13 tiles from the same stomach biopsy slide; 300 × 300 pixels each; scanned at ×20; hematoxylin and eosin stain.
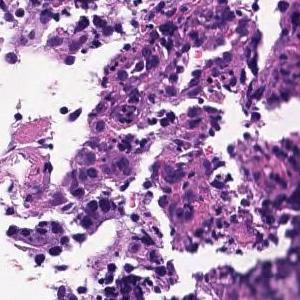
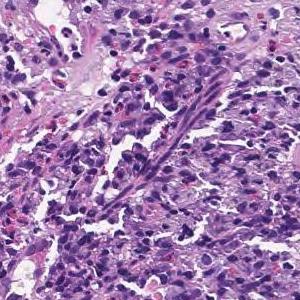
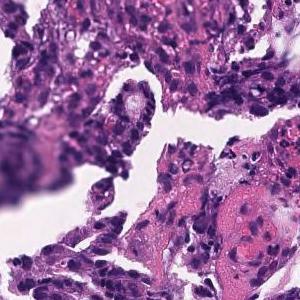
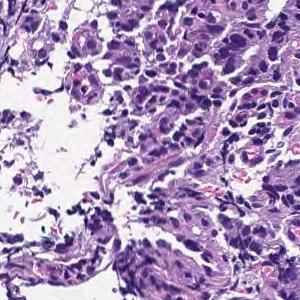
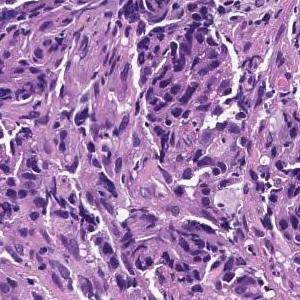
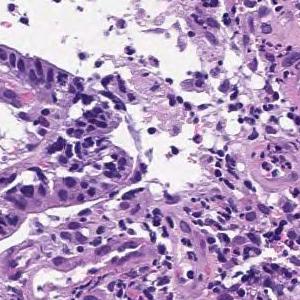
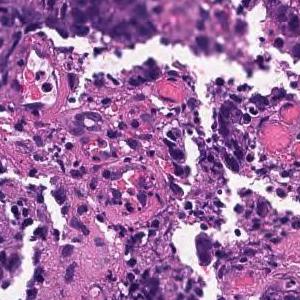
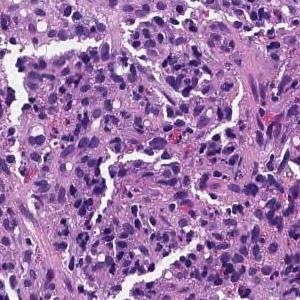
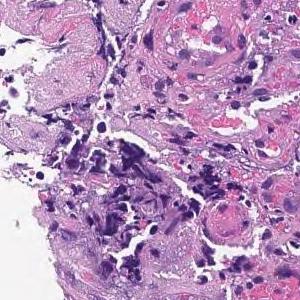
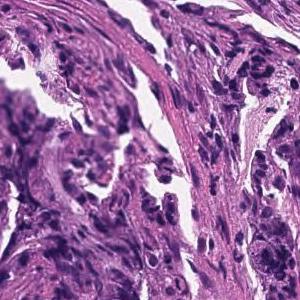
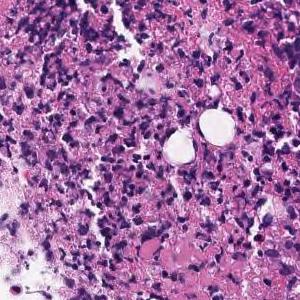
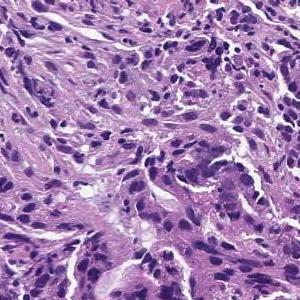
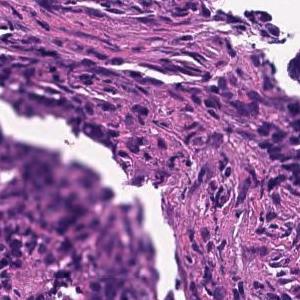
Diagnostic report for the slide these tiles come from. Both the report and the diagnosis are for the whole slide: these tiles need not show every feature named, and some of the tissue shown may not be tumor.
On the superficial epithelium, tumor tissue consisting of large irregular glandular ducts partially fused and infiltrated is observed. Well to moderately differentiated tubular adenocarcinoma (well differentiated tubular adenocarcinoma, moderately differentiated tubular adenocarcinoma)
Histologic type: Well to moderately differentiated tubular adenocarcinoma.
